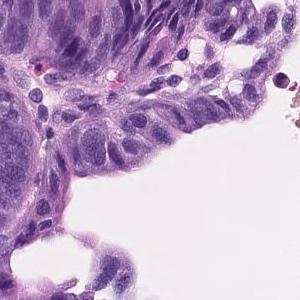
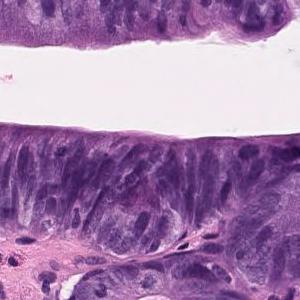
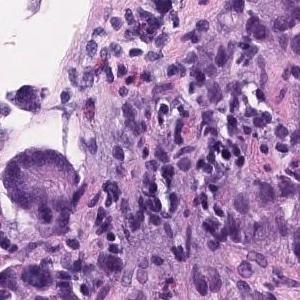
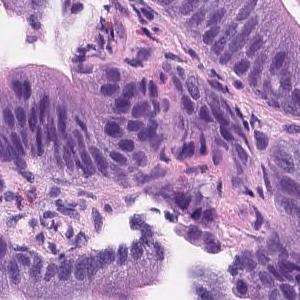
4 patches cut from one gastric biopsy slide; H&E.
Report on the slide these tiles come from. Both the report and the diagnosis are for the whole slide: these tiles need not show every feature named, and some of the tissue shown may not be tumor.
On the superficial epithelium, tumor tissue with densely growing medium to large, round tubules is observed. Tumor cells are highly columnar, with nuclei aligned basolaterally and polarized. Well differentiated tubular adenocarcinoma
